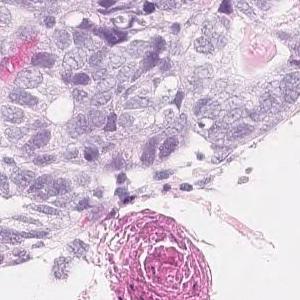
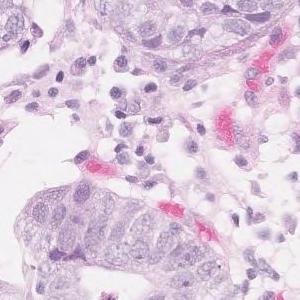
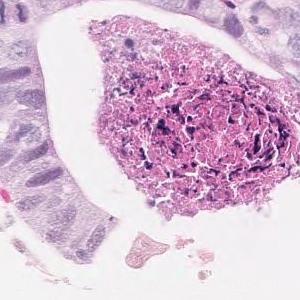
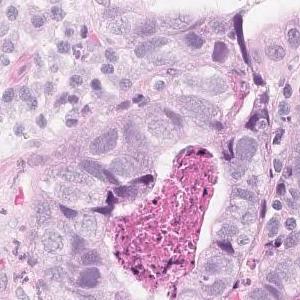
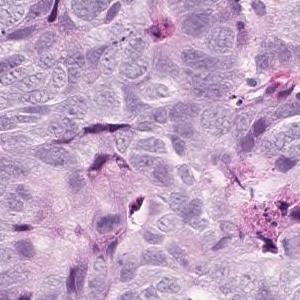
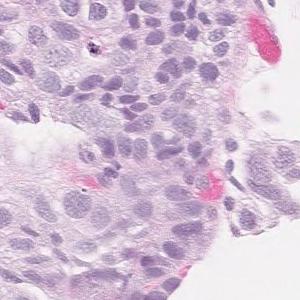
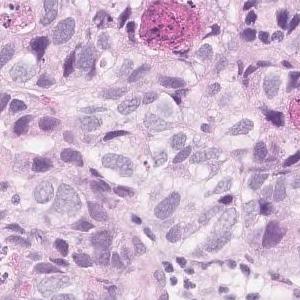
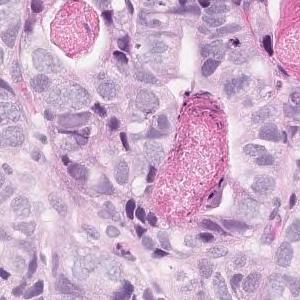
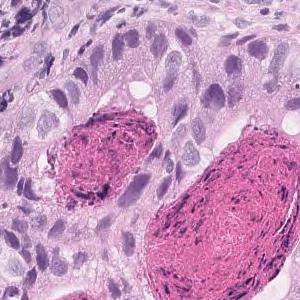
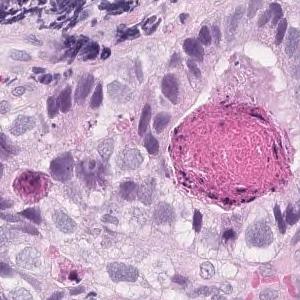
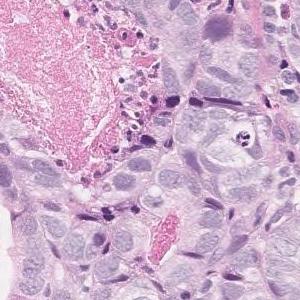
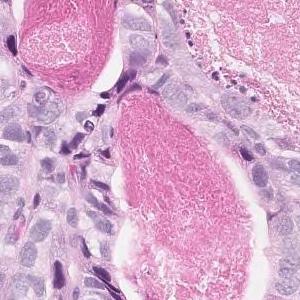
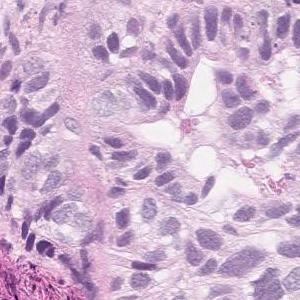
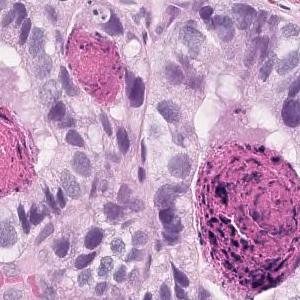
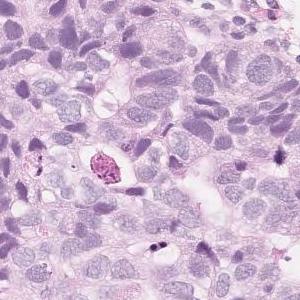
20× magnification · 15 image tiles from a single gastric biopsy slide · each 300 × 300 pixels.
Diagnostic report for the slide these tiles come from. The report and the diagnosis cover the entire slide, so not every feature they name need be visible here, and some tissue shown may not be tumor.
In the superficial epithelium, tumor tissue that invades by forming medium-sized to small, irregular ducts is observed. Moderately differentiated adenocarcinoma.
Tumor subtype: moderately differentiated tubular adenocarcinoma.
